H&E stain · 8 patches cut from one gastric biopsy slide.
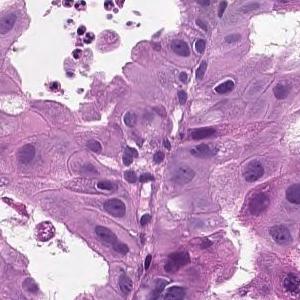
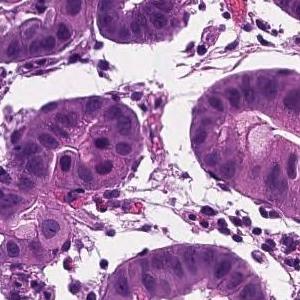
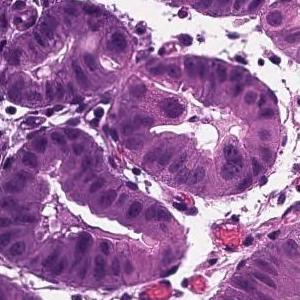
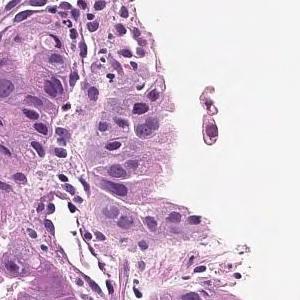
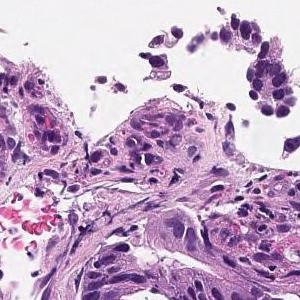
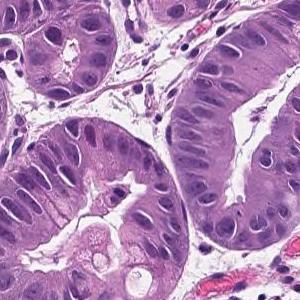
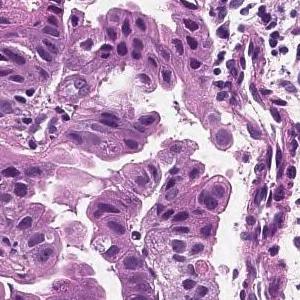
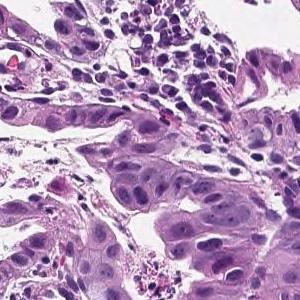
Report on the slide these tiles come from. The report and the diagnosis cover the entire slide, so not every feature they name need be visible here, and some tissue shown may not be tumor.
On the superficial epithelium, tumor tissue that infiltrates by forming medium-sized papillary or small irregular ducts is observed. Papillary adenocarcinoma
